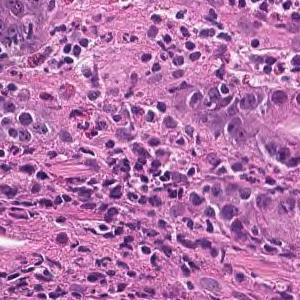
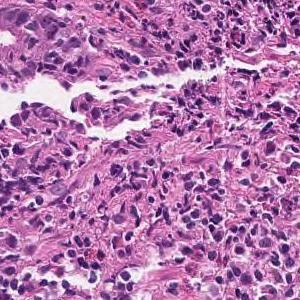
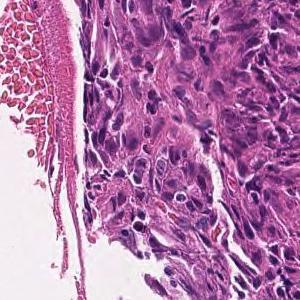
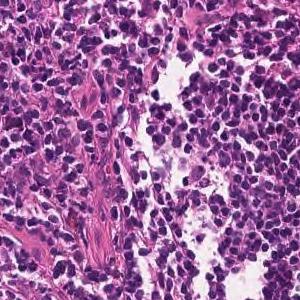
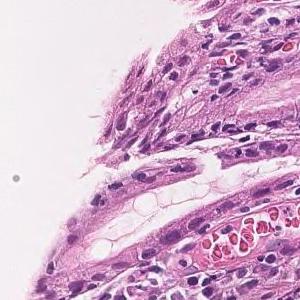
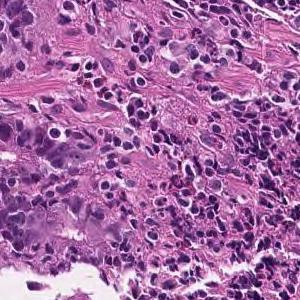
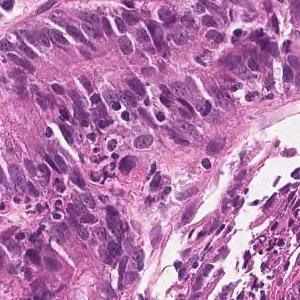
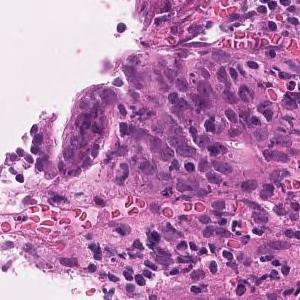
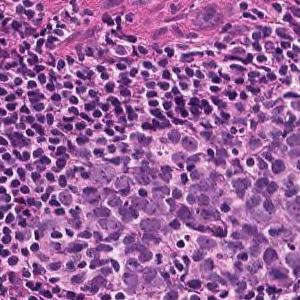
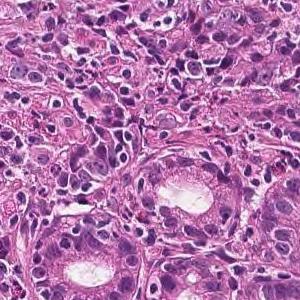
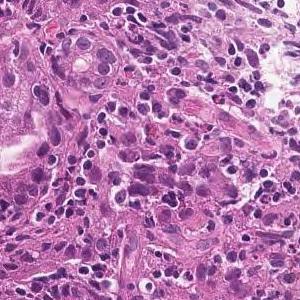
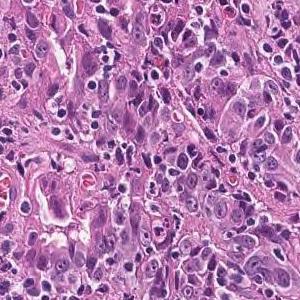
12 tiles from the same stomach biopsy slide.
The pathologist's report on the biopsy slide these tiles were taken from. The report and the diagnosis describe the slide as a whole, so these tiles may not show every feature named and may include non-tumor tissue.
Tumor tissue consisting of medium-sized, cord-like or irregular glandular infiltration is observed in the superficial epithelium. Poorly differentiated adenocarcinoma, non-solid type or moderately differentiated tubular adenocarcinoma
Dataset label: poorly differentiated adenocarcinoma, non-solid type.
The non-solid type named here is a Japanese Classification of Gastric Carcinoma category.
